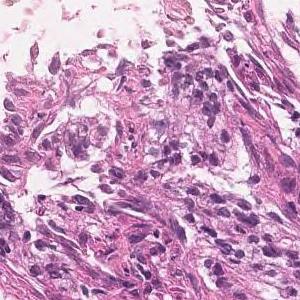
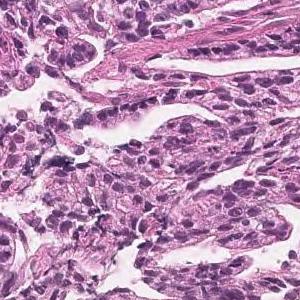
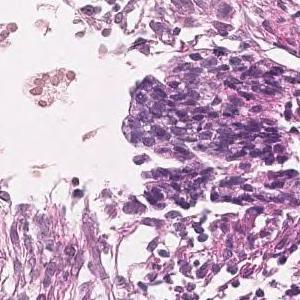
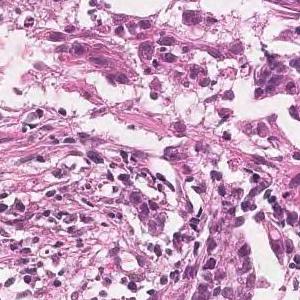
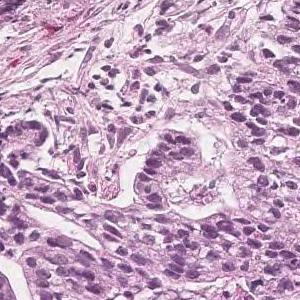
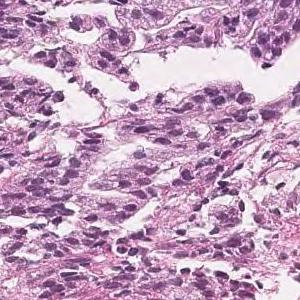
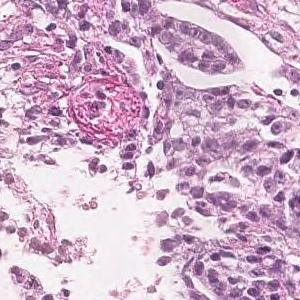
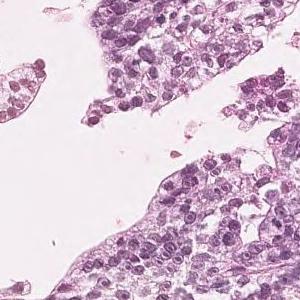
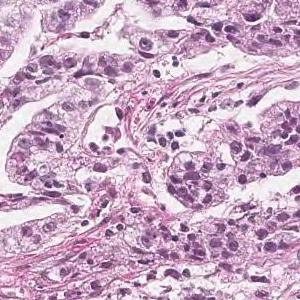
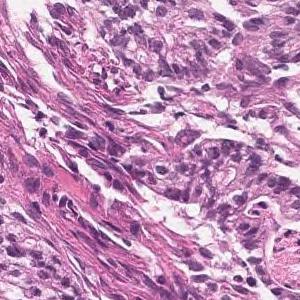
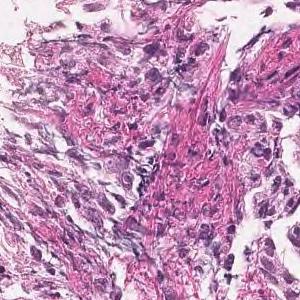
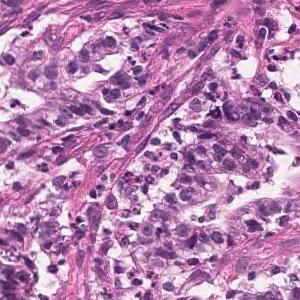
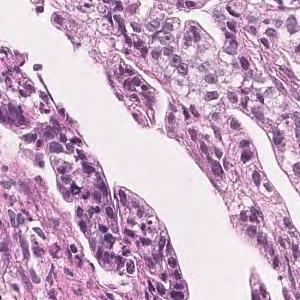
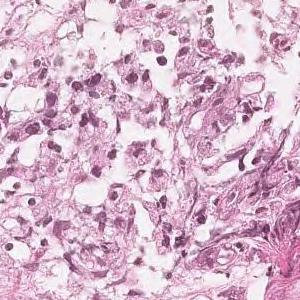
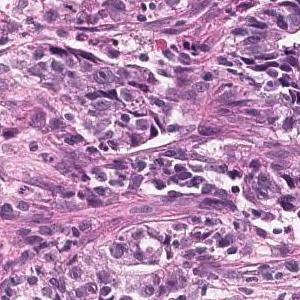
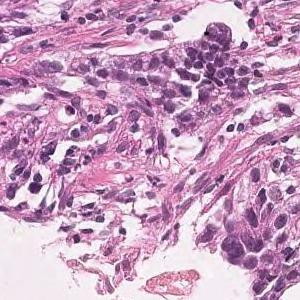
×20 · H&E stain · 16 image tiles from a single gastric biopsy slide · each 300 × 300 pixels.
Diagnostic report for the slide these tiles come from. What the report and the diagnosis say applies to the whole slide; these tiles may miss some of the features named and may include tissue that is not tumor.
Tumor tissue in which highly columnar atypical epithelial cells with nuclear enlargement and increased nuclear chromatin show papillary to papillary ductal structure and proliferate is observed. Papillary adenocarcinoma.
